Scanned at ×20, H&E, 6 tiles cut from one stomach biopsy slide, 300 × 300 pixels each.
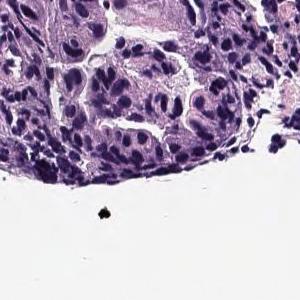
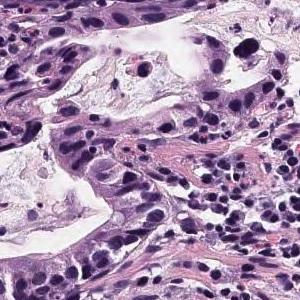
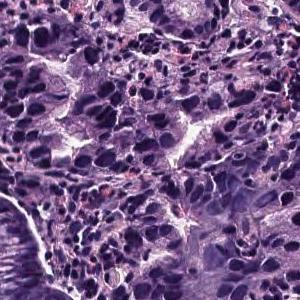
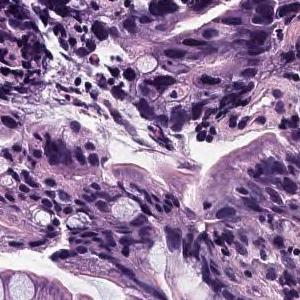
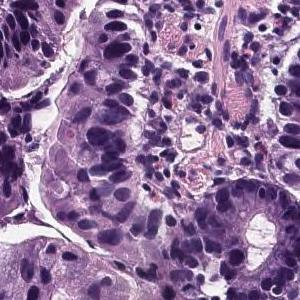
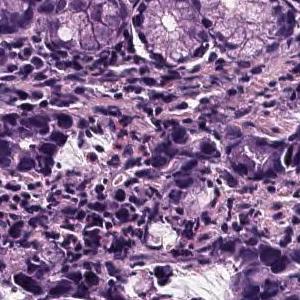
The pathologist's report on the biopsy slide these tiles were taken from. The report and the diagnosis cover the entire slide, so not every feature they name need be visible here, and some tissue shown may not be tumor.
Atypical l cells with atypical nuclei form irregular ducts and infiltrate. Well differentiated adenocarcinoma
Histological subtype: Well differentiated tubular adenocarcinoma.
